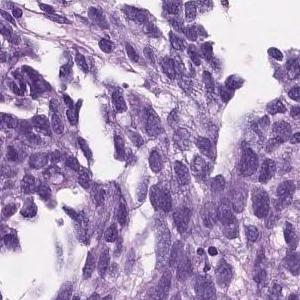
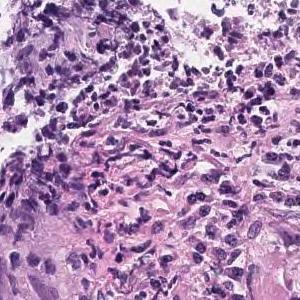
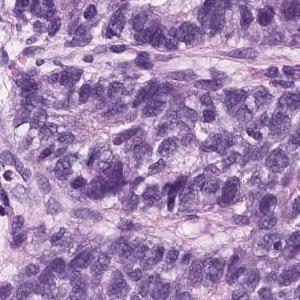
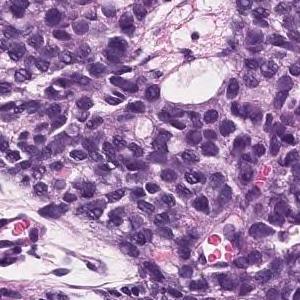
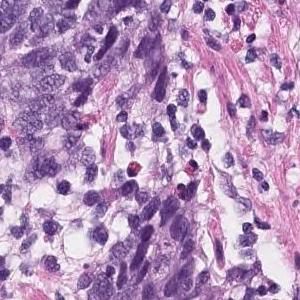
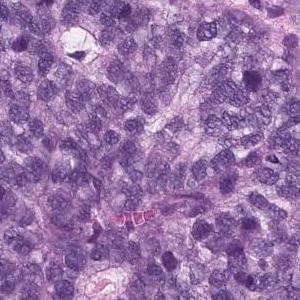
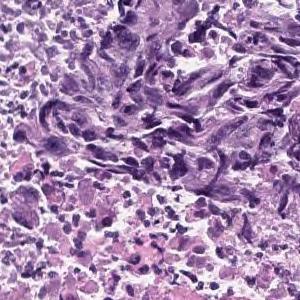
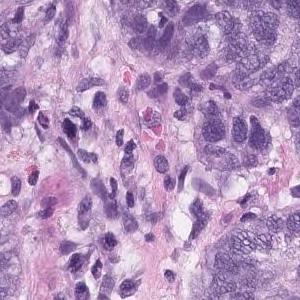
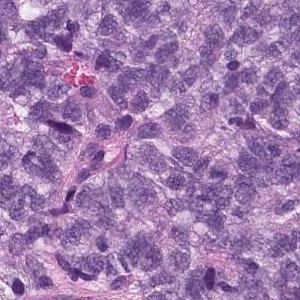
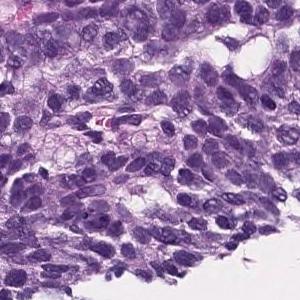
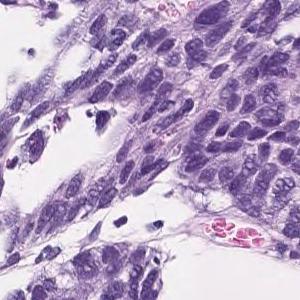
Hematoxylin and eosin stain, 11 tiles from the same stomach biopsy slide, 300 × 300 pixels each.
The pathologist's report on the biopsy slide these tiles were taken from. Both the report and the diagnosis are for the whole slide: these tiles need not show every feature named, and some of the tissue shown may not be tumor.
Epithelial cells with swollen nuclei with atypia invasively proliferating while forming vesicles is observed. Poorly differentiated adenocarcinoma
Tumor subtype: poorly differentiated adenocarcinoma, solid type. This name comes from the Japanese Classification of Gastric Carcinoma; the WHO 2019 classification calls it tubular adenocarcinoma, poorly differentiated.
